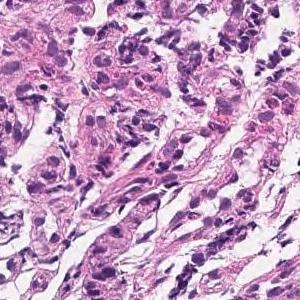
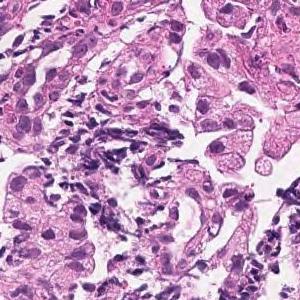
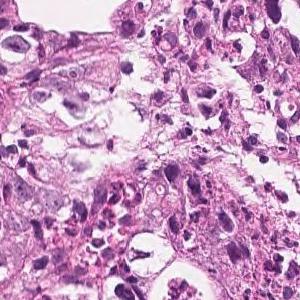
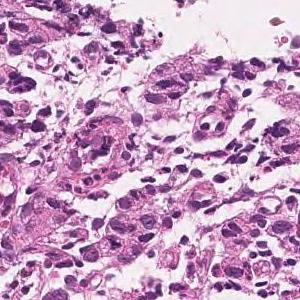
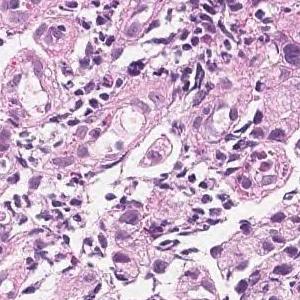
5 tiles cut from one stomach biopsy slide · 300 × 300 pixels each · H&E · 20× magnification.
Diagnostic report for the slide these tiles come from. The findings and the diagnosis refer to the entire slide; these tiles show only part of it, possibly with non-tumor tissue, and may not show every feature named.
In the superficial epithelium, medium to small, irregular glandular ducts are formed, and in some parts, the glandular ducts are fused, and in other parts, small cord-like infiltrating tumor tissue is observed. Moderately to poorly differentiated adenocarcinoma.
